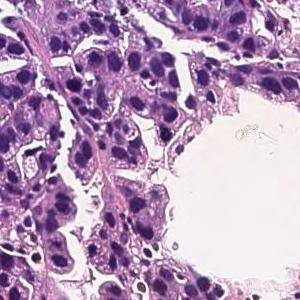
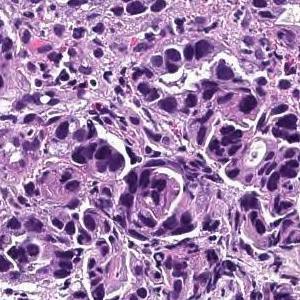
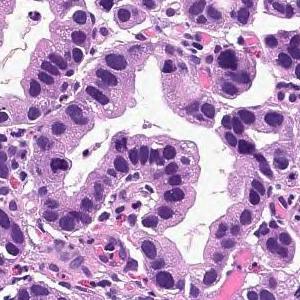
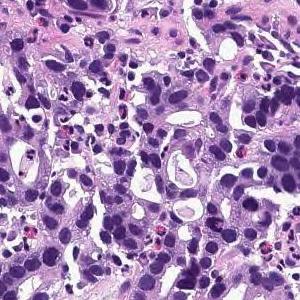
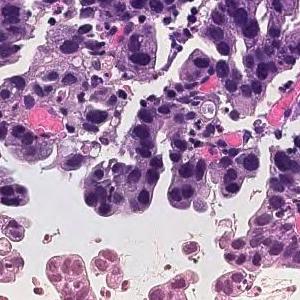
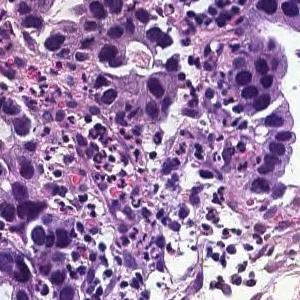
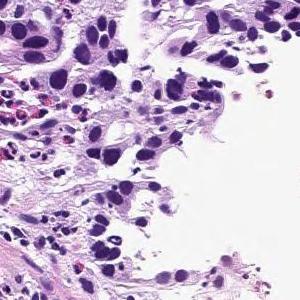
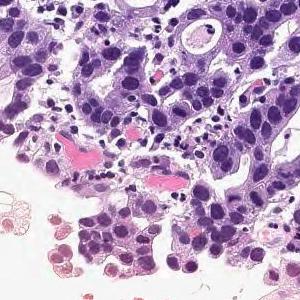
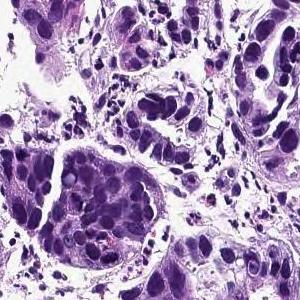
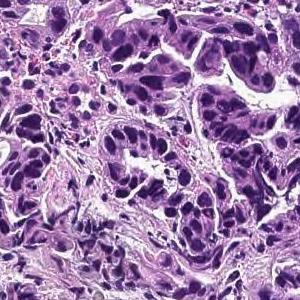
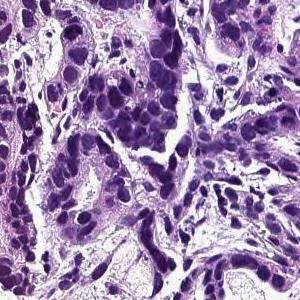
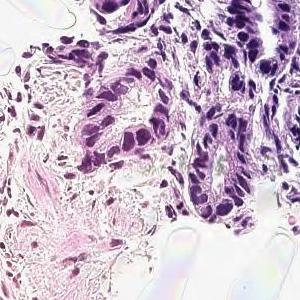
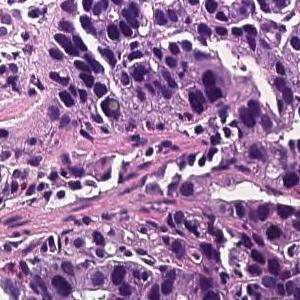
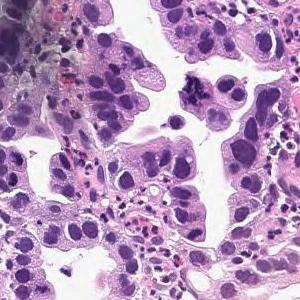
H&E stain, 20× magnification, 14 tiles cut from one stomach biopsy slide.
The pathologist's report on the biopsy slide these tiles were taken from. The report and the diagnosis describe the slide as a whole, so these tiles may not show every feature named and may include non-tumor tissue.
On the superficial epithelium, tumor tissue consisting of large irregular glandular ducts partially fused and infiltrated is observed. Well to moderately differentiated tubular adenocarcinoma (well differentiated tubular adenocarcinoma, moderately differentiated tubular adenocarcinoma)
Tumor subtype: well to moderately differentiated tubular adenocarcinoma.
